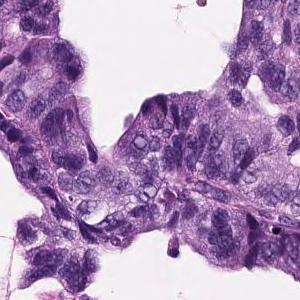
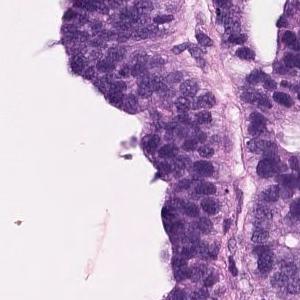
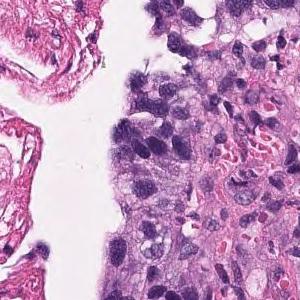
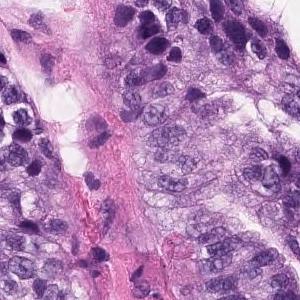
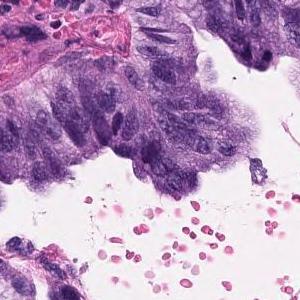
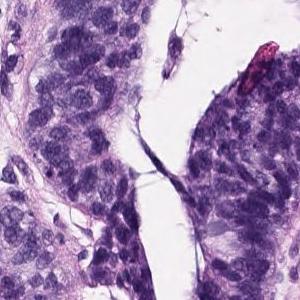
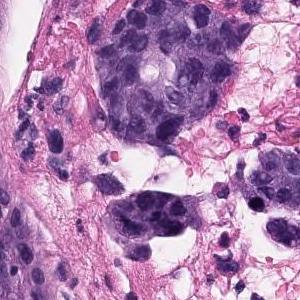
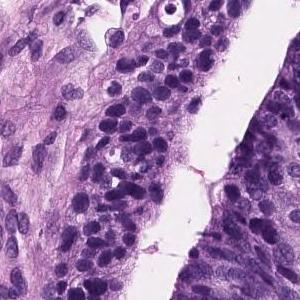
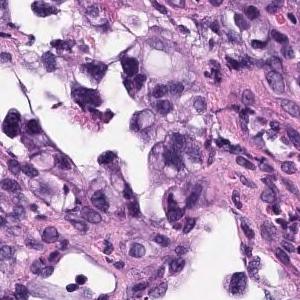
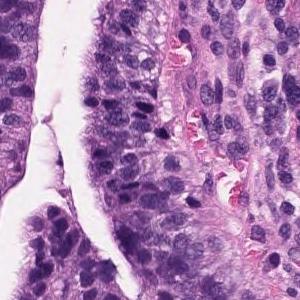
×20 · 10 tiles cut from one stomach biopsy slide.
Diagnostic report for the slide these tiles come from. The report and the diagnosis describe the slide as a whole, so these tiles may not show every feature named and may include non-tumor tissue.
Tumor cells are large, highly columnar, large club-shaped nuclei, and are associated with chromatin aggregation. Papillary adenocarcinoma.
